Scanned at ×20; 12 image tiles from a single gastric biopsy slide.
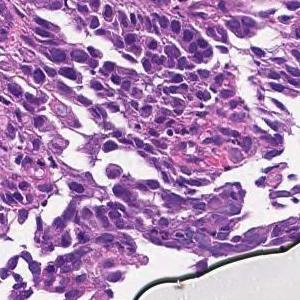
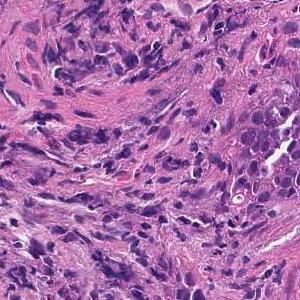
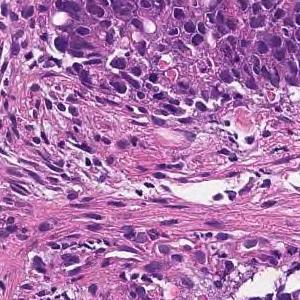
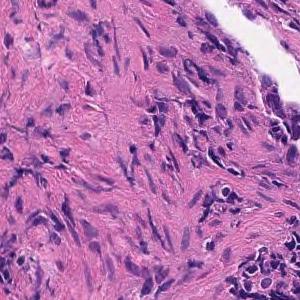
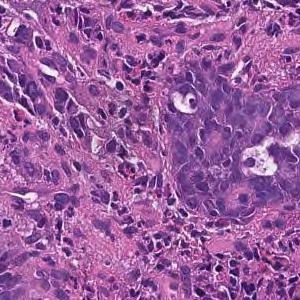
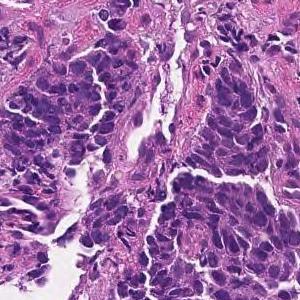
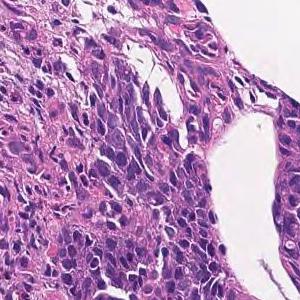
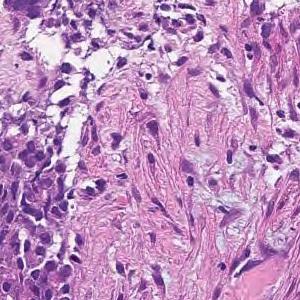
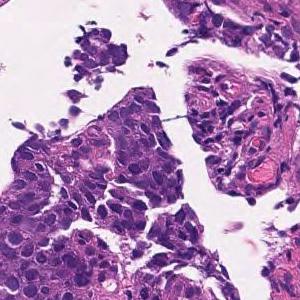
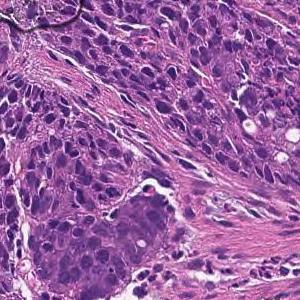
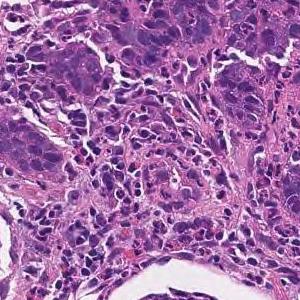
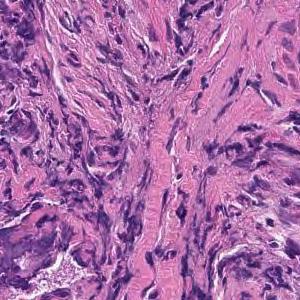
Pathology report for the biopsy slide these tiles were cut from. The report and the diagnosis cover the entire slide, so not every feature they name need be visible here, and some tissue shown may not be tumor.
Tumor tissue consisting of cord-like or small, irregular glandular ducts fused and infiltrated is observed in the superficial epithelium. Poorly differentiated adenocarcinoma, non-solid type
The term "non-solid type" comes from the Japanese Classification of Gastric Carcinoma.
